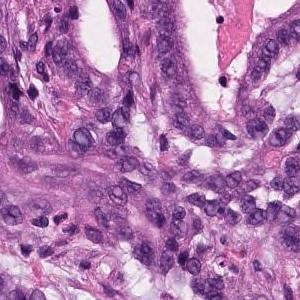
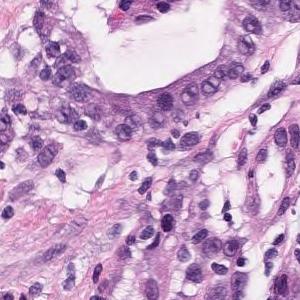
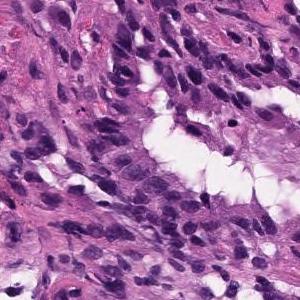
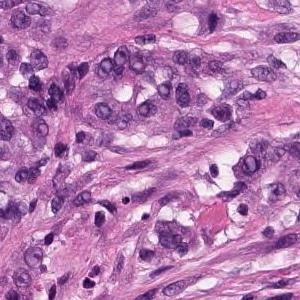
4 tiles from the same stomach biopsy slide; H&E; ×20.
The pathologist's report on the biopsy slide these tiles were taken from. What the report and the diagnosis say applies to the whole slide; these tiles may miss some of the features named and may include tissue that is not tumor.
In the superficial epithelium, tumor tissue that invades by forming medium-sized to small, irregular ducts is observed. Moderately differentiated adenocarcinoma.
Classified as moderately differentiated tubular adenocarcinoma.
